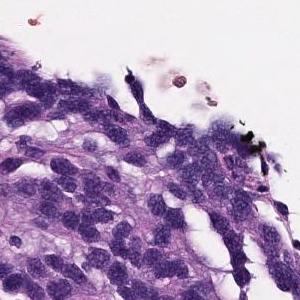
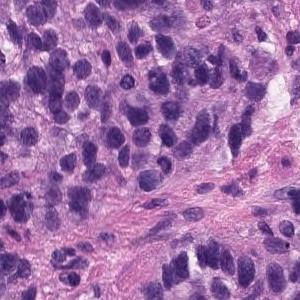
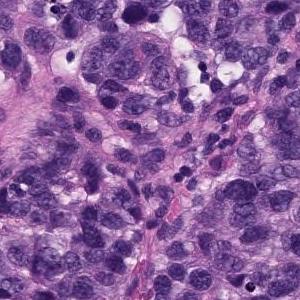
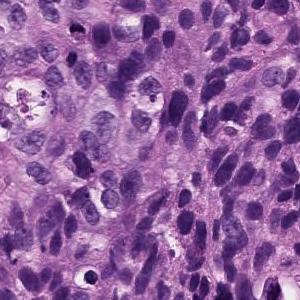
4 tiles from the same stomach biopsy slide, 300×300 px each, hematoxylin and eosin stain, scanned at ×20.
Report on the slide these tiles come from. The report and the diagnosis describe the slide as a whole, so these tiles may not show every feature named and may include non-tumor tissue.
Atypical l cells with atypical nuclei under the mucosa growing in isolation and scattered. Poorly differentiated adenocarcinoma (poorly differentiated adenocarcinoma, non-solid type)
Subtype: Poorly differentiated adenocarcinoma, non-solid type.
The non-solid type named here is a Japanese Classification of Gastric Carcinoma category.
